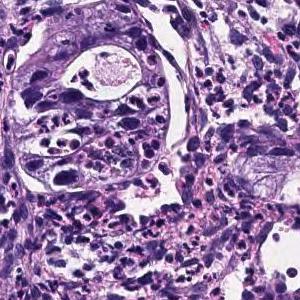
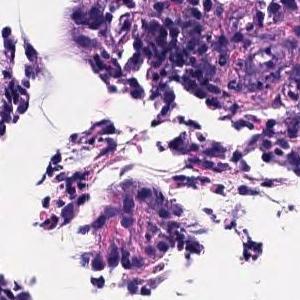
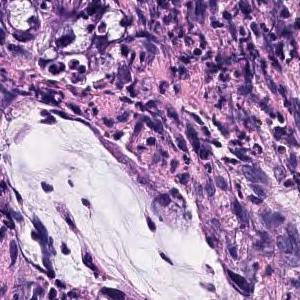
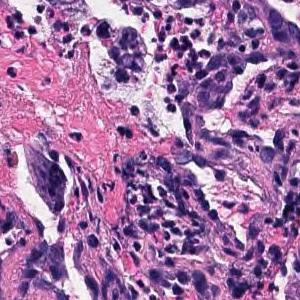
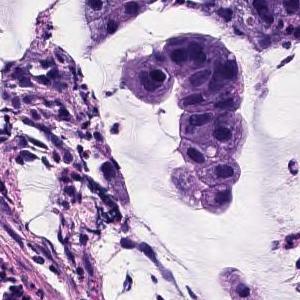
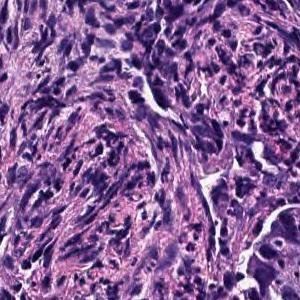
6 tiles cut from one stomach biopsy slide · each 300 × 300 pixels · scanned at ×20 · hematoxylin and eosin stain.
Diagnostic report for the slide these tiles come from. The report and the diagnosis describe the slide as a whole, so these tiles may not show every feature named and may include non-tumor tissue.
The superficial epithelium shows small cord-like infiltrating tumor tissue. Some part of neoplastic cells are signet ring cell type which show single invasion manner. Poorly differentiated adenocarcinoma, non-solid type.
"Non-solid type" is a category of the Japanese Classification of Gastric Carcinoma.
